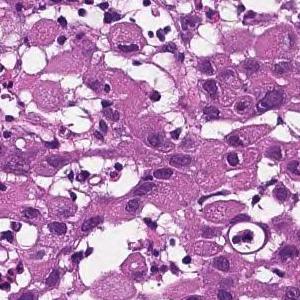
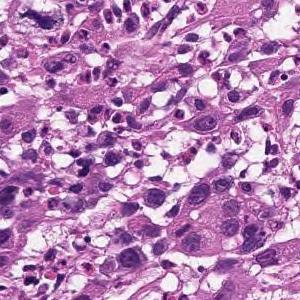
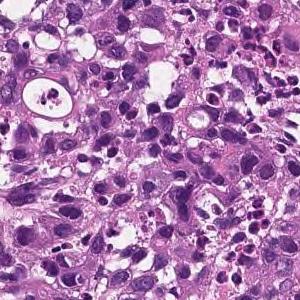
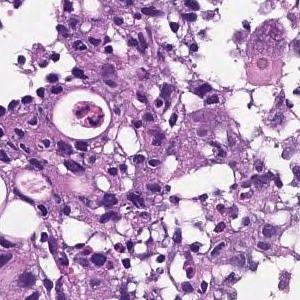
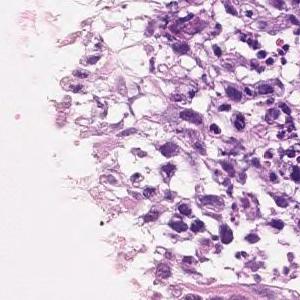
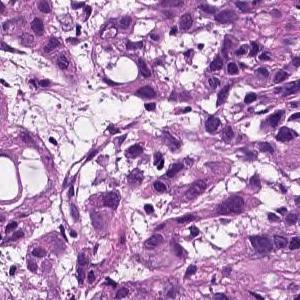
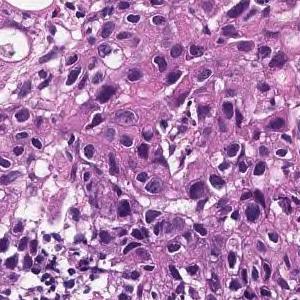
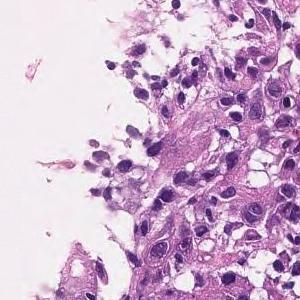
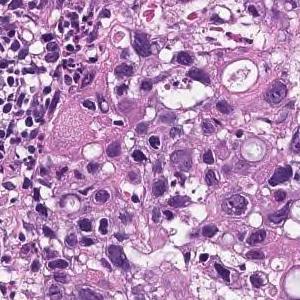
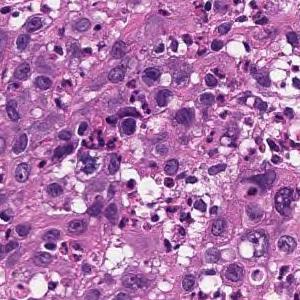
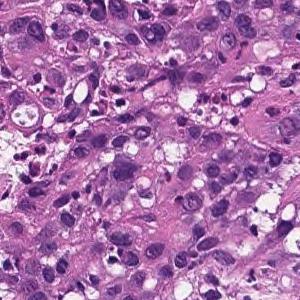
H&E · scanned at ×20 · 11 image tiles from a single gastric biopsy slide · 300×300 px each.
Pathology report for the slide these tiles were cut from. The findings and the diagnosis refer to the entire slide; these tiles show only part of it, possibly with non-tumor tissue, and may not show every feature named.
The superficial epithelium shows a large sheet-like shape, and some tumor tissue infiltrates with small irregular ducts. Poorly differentiated adenocarcinoma, solid-type
Histological subtype: Poorly differentiated adenocarcinoma, solid type. This name comes from the Japanese Classification of Gastric Carcinoma; the WHO 2019 classification calls it tubular adenocarcinoma, poorly differentiated.
